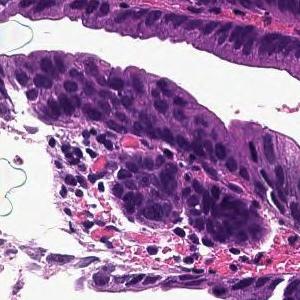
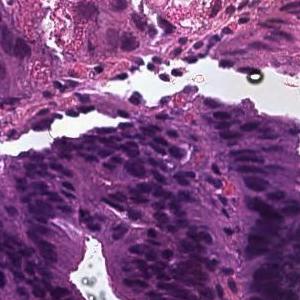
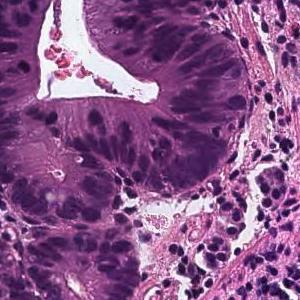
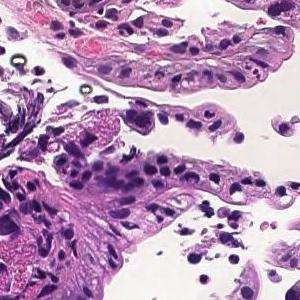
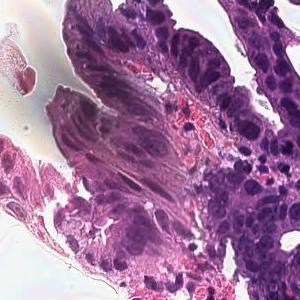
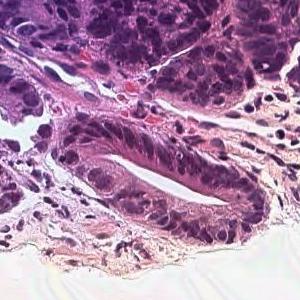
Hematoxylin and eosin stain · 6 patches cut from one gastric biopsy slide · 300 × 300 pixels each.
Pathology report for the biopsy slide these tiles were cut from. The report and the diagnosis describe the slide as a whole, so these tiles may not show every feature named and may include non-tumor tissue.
In the superficial epithelium, tumor tissue that invades by forming medium-sized to small, irregular ducts is observed. moderately differentiated tubular adenocarcinoma.
